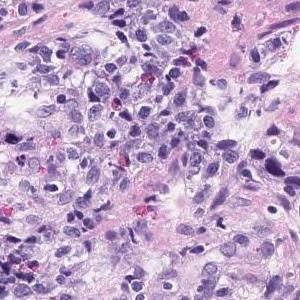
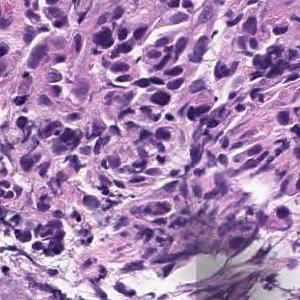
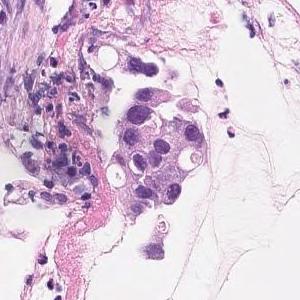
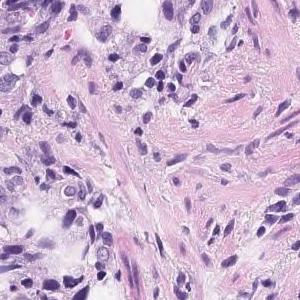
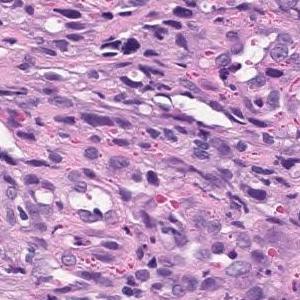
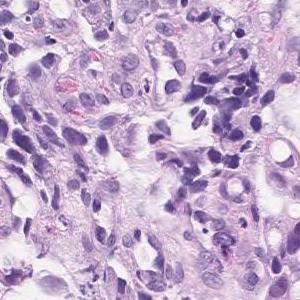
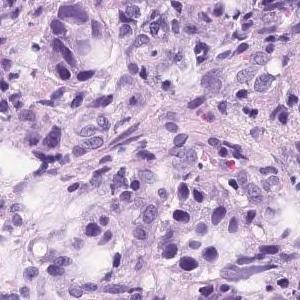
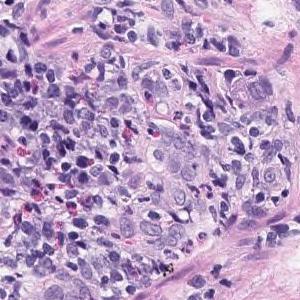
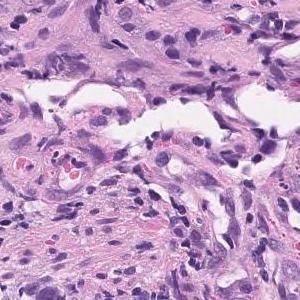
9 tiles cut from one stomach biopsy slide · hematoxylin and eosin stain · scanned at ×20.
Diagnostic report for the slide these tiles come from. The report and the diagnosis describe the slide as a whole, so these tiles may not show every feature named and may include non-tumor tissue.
Group 5, Moderately differentiated adenocarcinoma
Subtype: Moderately differentiated tubular adenocarcinoma.
